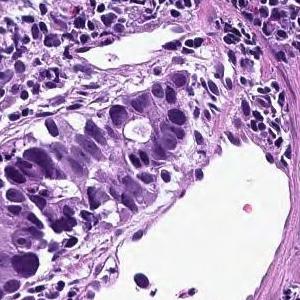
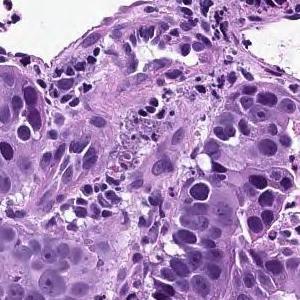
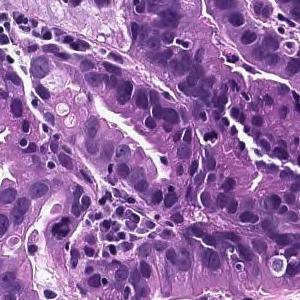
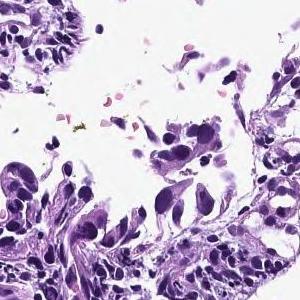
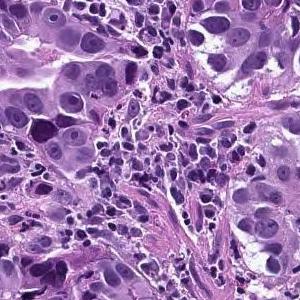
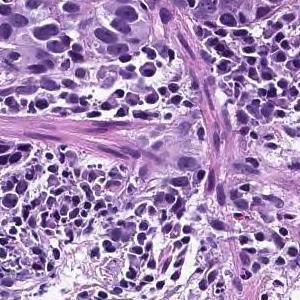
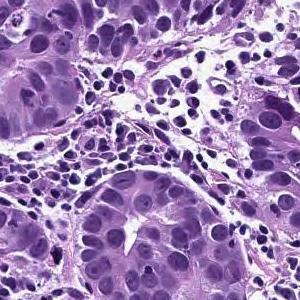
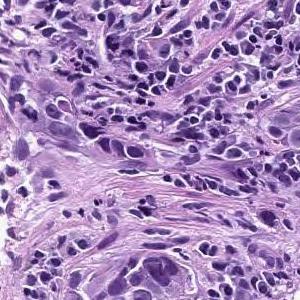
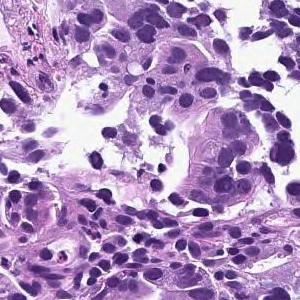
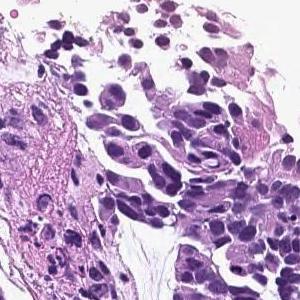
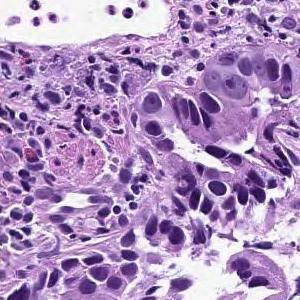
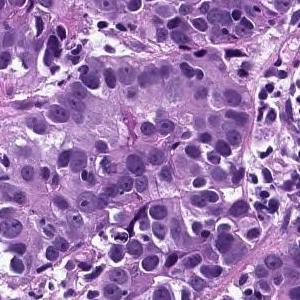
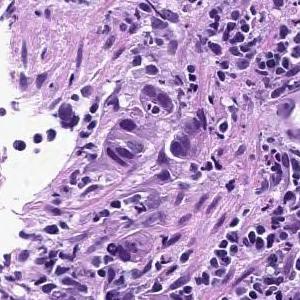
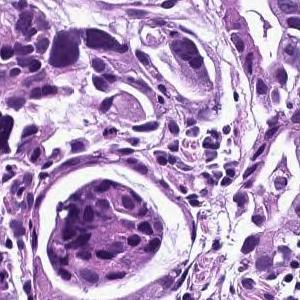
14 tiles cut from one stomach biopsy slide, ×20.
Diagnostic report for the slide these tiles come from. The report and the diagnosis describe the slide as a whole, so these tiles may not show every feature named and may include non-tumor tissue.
In the superficial epithelium, tumor tissue that invades by forming medium-sized to small, irregular ducts is observed. moderately differentiated tubular adenocarcinoma.
